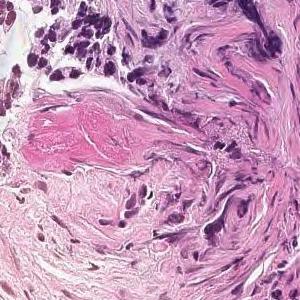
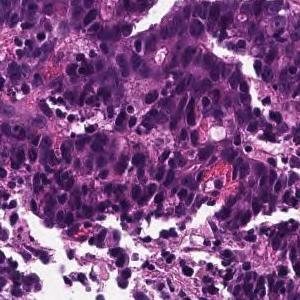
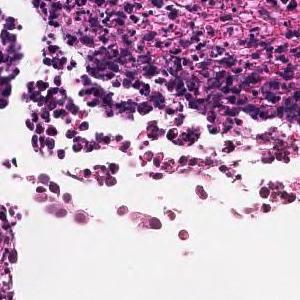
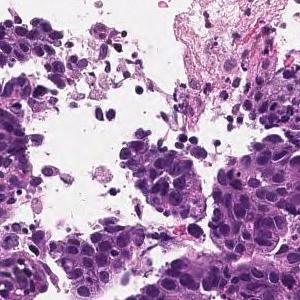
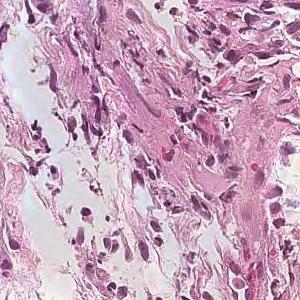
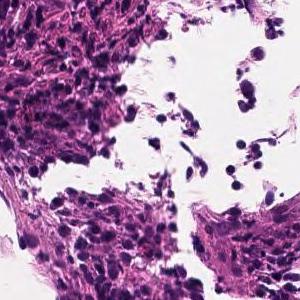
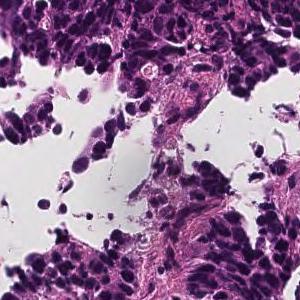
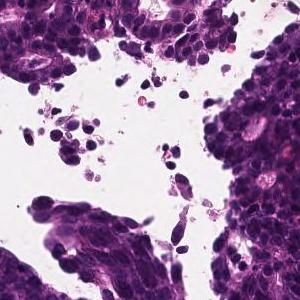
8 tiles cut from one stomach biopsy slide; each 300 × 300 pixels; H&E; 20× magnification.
The pathologist's report on the biopsy slide these tiles were taken from. The report and the diagnosis describe the slide as a whole, so these tiles may not show every feature named and may include non-tumor tissue.
In the superficial epithelium, tumor tissue that invades by forming medium-sized to small, irregular ducts is observed. moderately differentiated tubular adenocarcinoma.
